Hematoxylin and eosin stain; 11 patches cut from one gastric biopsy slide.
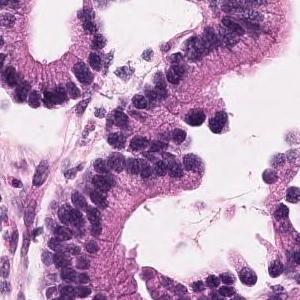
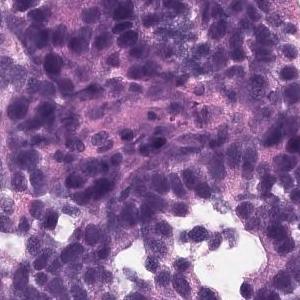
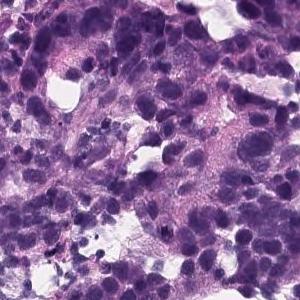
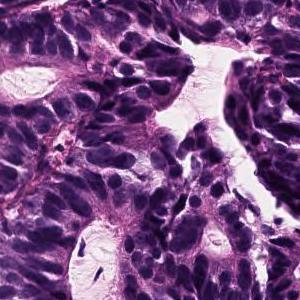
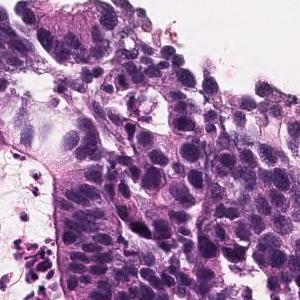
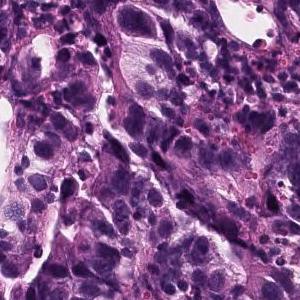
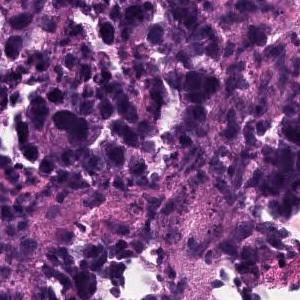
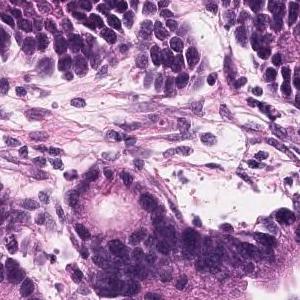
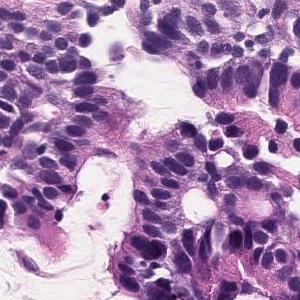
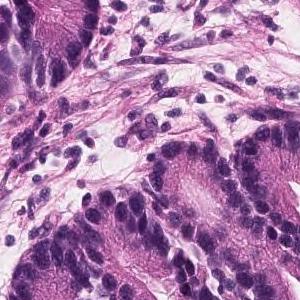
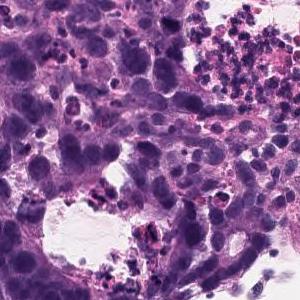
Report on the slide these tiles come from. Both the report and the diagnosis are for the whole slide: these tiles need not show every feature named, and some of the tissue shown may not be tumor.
In the superficial epithelium, tumor tissue that invades by forming medium-sized to small, irregular ducts is observed. moderately differentiated tubular adenocarcinoma.
